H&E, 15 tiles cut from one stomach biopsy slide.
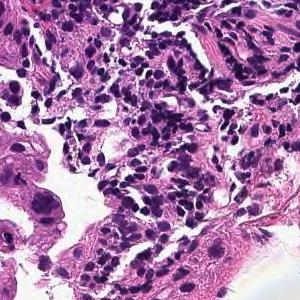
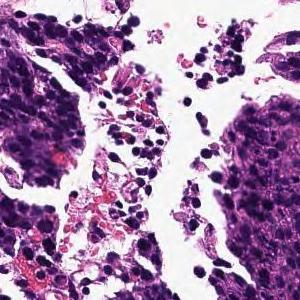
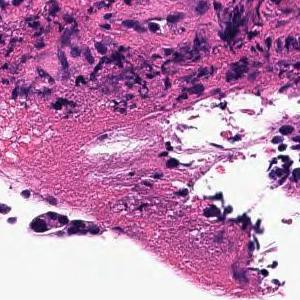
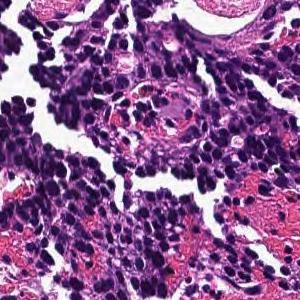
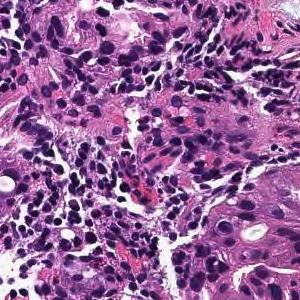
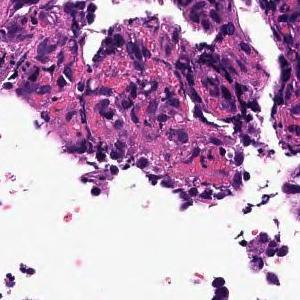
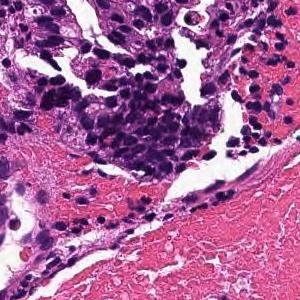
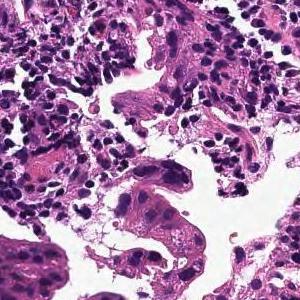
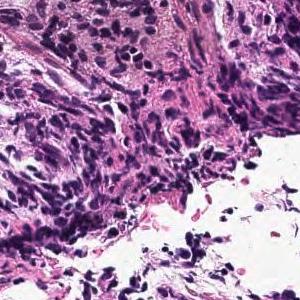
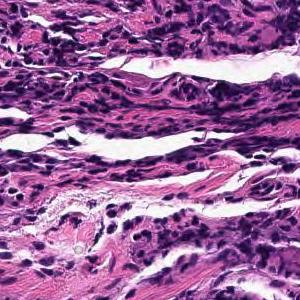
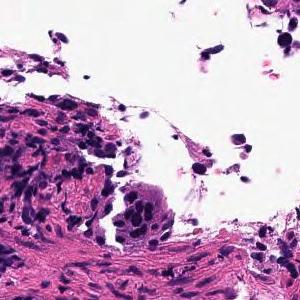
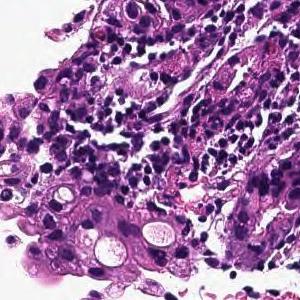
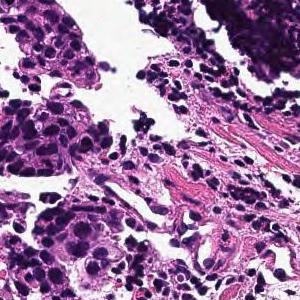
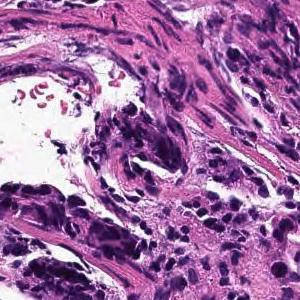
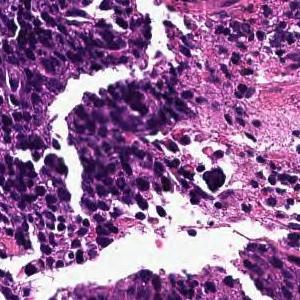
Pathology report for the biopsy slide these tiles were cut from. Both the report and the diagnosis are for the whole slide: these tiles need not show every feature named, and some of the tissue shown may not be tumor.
In the superficial epithelium, tumor tissue that invades by forming medium-sized to small, irregular ducts is observed. moderately differentiated tubular adenocarcinoma.
